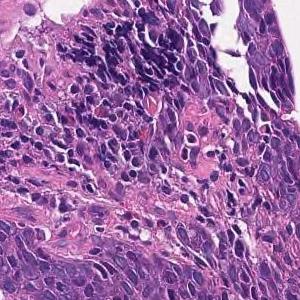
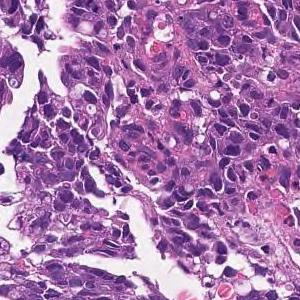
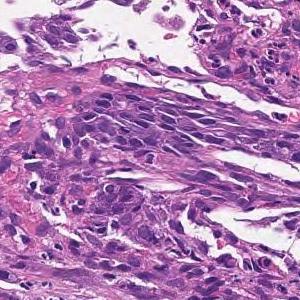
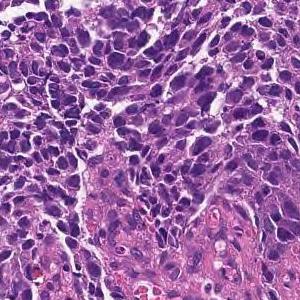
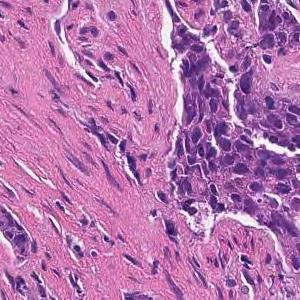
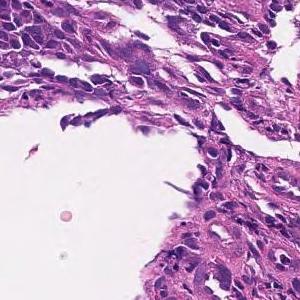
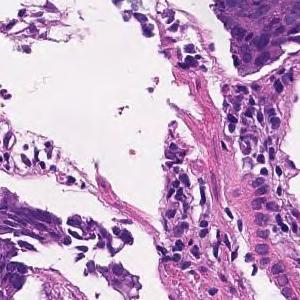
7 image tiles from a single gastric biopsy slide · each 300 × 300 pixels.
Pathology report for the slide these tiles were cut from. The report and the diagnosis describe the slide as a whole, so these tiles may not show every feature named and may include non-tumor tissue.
Tumor tissue consisting of cord-like or small, irregular glandular ducts fused and infiltrated is observed in the superficial epithelium. Poorly differentiated adenocarcinoma, non-solid type
The non-solid type named here is a Japanese Classification of Gastric Carcinoma category.
